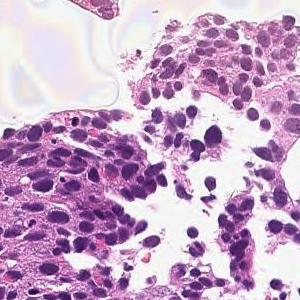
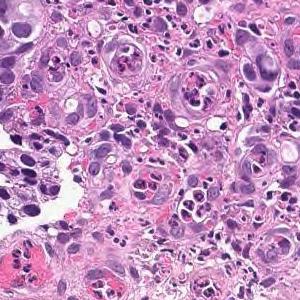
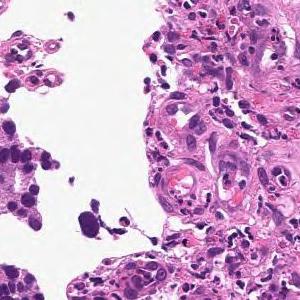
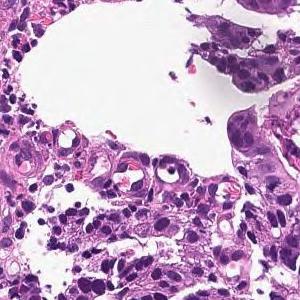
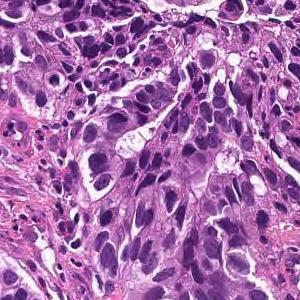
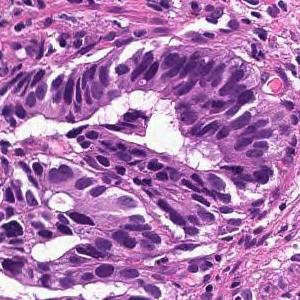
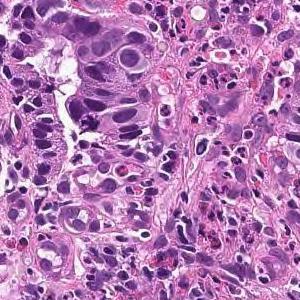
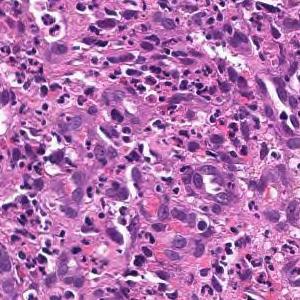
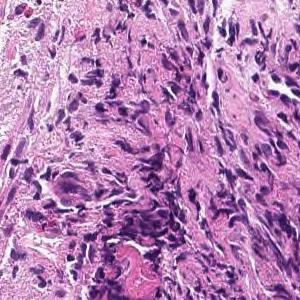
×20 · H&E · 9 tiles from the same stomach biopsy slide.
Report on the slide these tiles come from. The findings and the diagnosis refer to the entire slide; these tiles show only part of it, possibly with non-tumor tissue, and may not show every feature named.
On the superficial epithelium, tumor tissue consisting of large irregular glandular ducts partially fused and infiltrated is observed. Well to moderately differentiated tubular adenocarcinoma (well differentiated tubular adenocarcinoma, moderately differentiated tubular adenocarcinoma)
Histologic type: Well to moderately differentiated tubular adenocarcinoma.
